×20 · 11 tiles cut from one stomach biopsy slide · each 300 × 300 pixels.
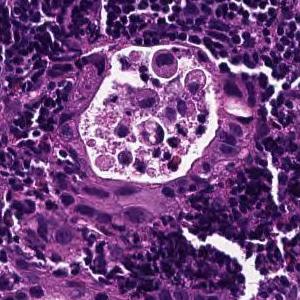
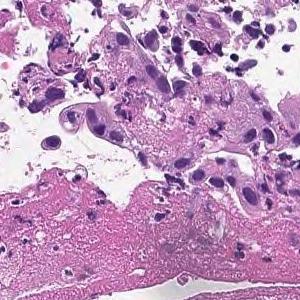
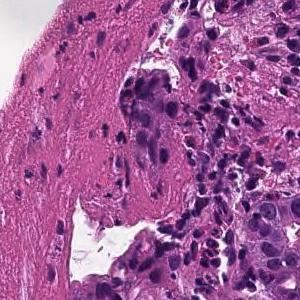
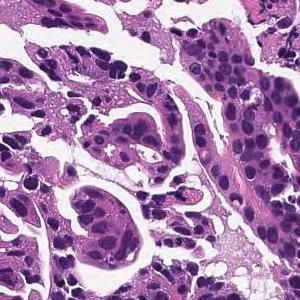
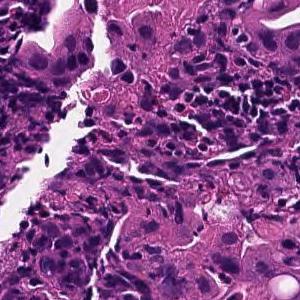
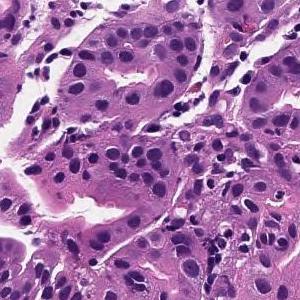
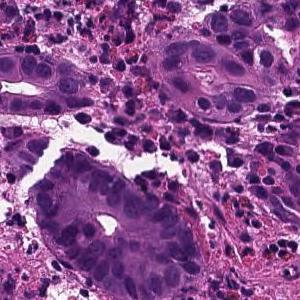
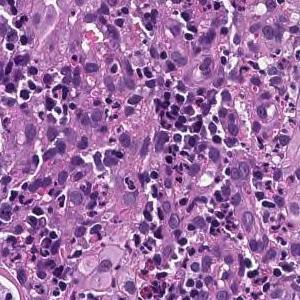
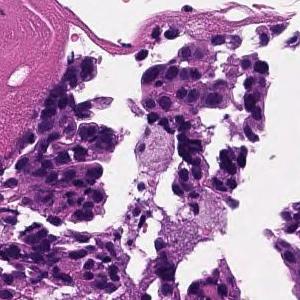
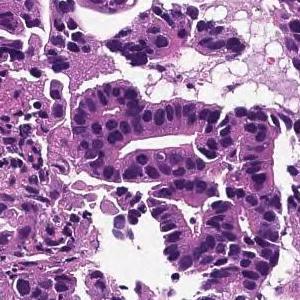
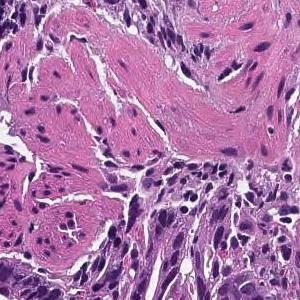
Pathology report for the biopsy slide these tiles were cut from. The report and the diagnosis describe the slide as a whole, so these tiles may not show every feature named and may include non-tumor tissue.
In the superficial epithelium, tumor tissue that invades by forming medium-sized to small, irregular ducts is observed. moderately differentiated tubular adenocarcinoma.
